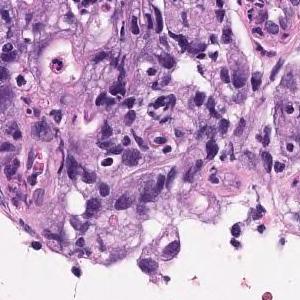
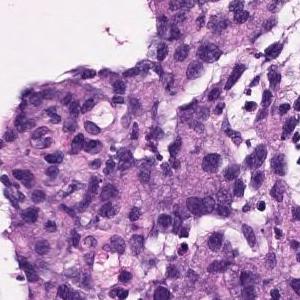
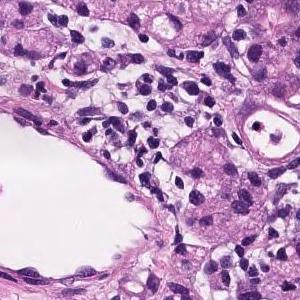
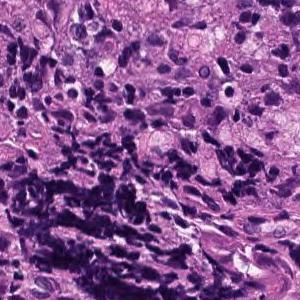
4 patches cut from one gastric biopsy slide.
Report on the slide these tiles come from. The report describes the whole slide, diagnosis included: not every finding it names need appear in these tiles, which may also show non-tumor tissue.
Atypical epithelium forms irregularly fused gland ducts and proliferates. Poorly differentiated adenocarcinoma.
Classified as poorly differentiated adenocarcinoma, non-solid type.
"Non-solid type" is a category of the Japanese Classification of Gastric Carcinoma.
